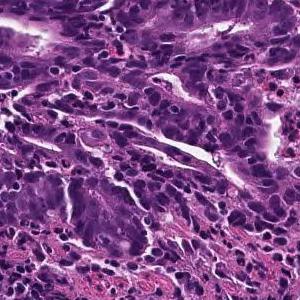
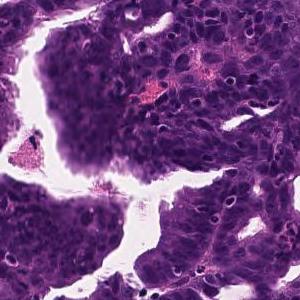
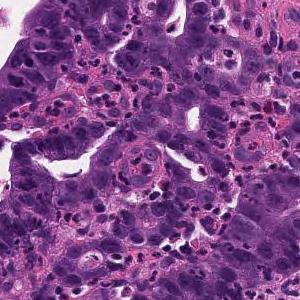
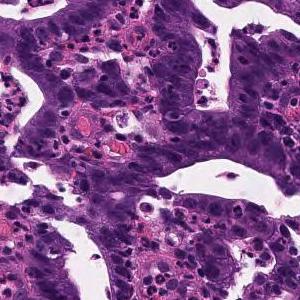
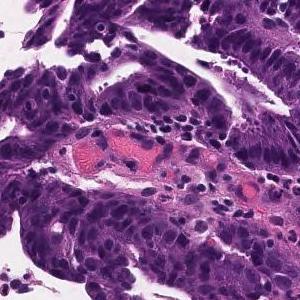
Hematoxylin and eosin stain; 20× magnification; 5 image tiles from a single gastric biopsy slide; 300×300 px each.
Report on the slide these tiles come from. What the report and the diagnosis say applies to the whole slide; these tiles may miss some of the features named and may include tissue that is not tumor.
Tumor cells are large, highly columnar, large club-shaped nuclei, and are associated with chromatin aggregation. Papillary adenocarcinoma.
